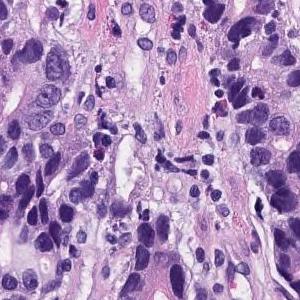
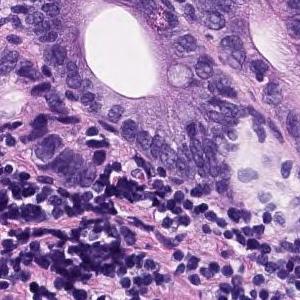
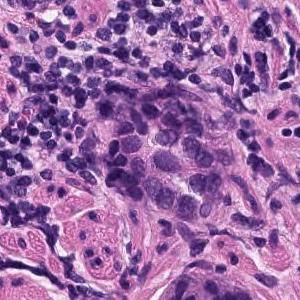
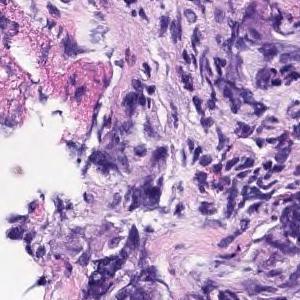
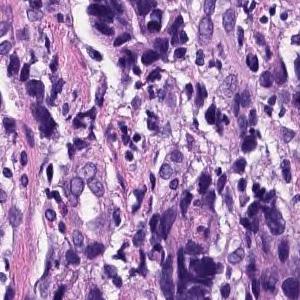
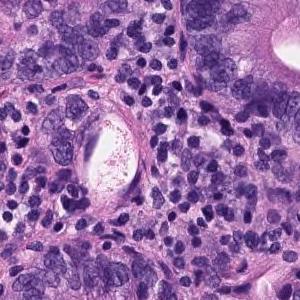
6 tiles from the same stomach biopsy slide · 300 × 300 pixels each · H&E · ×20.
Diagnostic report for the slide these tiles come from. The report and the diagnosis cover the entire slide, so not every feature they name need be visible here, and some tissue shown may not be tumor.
On the superficial epithelium, tumor tissue consisting of images showing invasive growth with small, irregular tubules partially fused is observed. moderately differentiated tubular adenocarcinoma
